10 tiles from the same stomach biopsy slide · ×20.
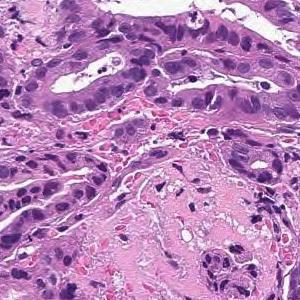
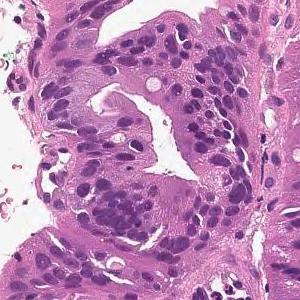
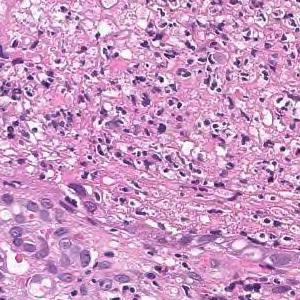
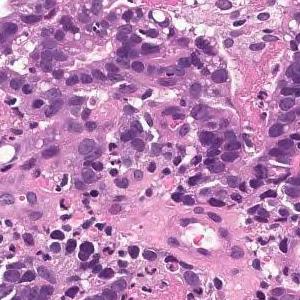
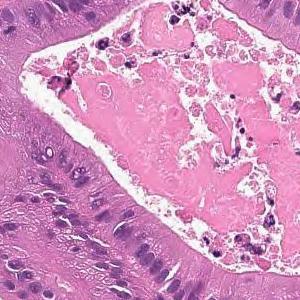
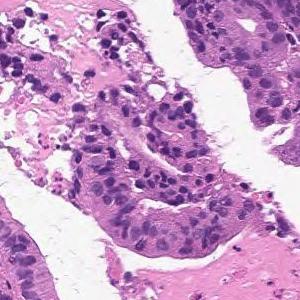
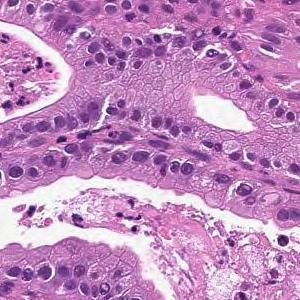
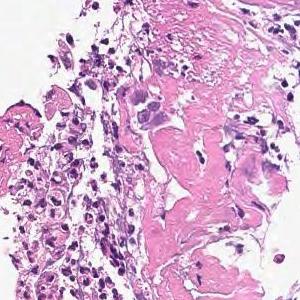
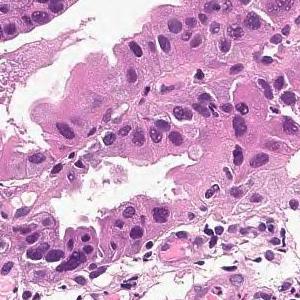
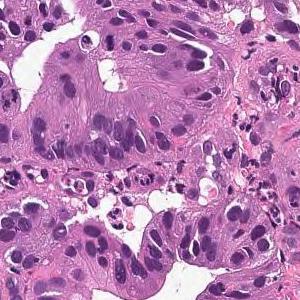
Diagnostic report for the slide these tiles come from. The report and the diagnosis describe the slide as a whole, so these tiles may not show every feature named and may include non-tumor tissue.
From the superficial epithelium to the muscularis mucosae, tumor tissue consisting of medium-sized and irregular glandular ducts infiltrating is observed. Well differentiated tubular adenocarcinoma
